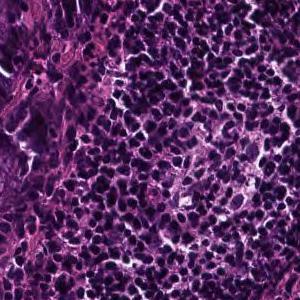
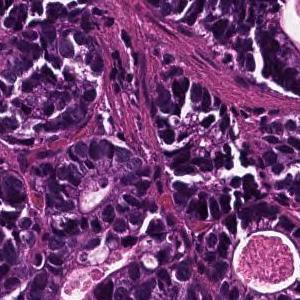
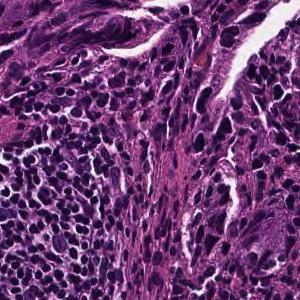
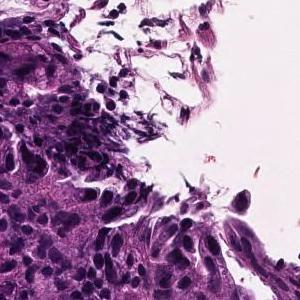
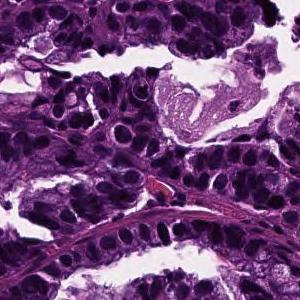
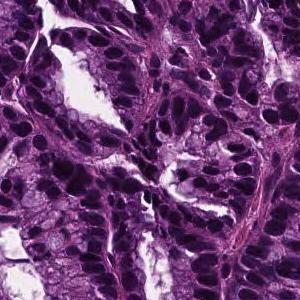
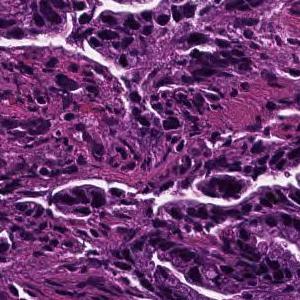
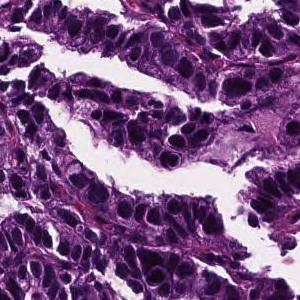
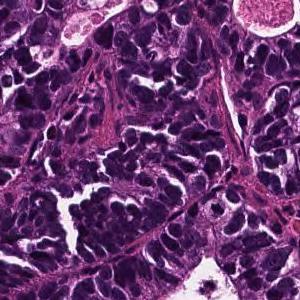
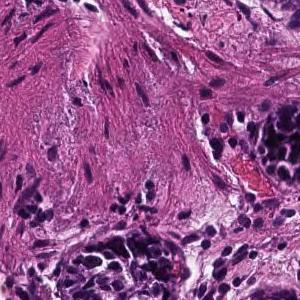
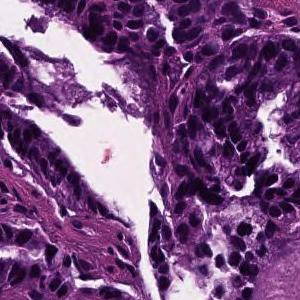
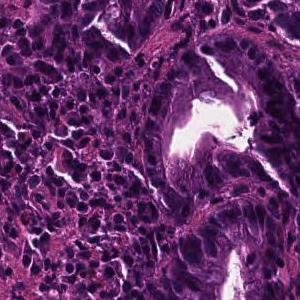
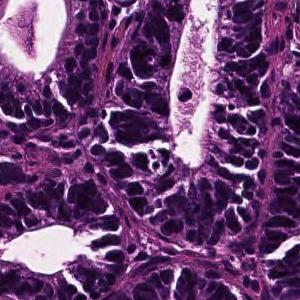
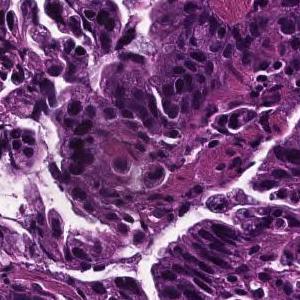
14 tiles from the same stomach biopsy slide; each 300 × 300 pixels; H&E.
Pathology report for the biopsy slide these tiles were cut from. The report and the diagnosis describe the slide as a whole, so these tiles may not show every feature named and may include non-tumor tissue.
In the superficial epithelium, tumor tissue that invades by forming medium-sized to small, irregular ducts is observed. Well differentiated tubular adenocarcinoma.
